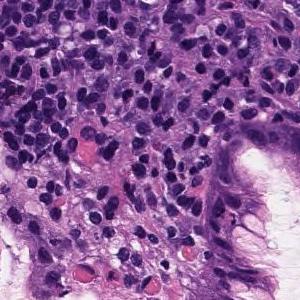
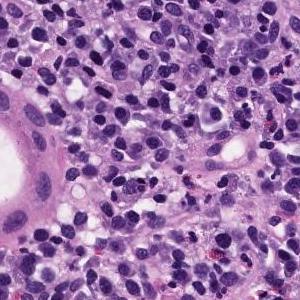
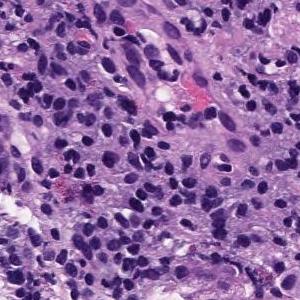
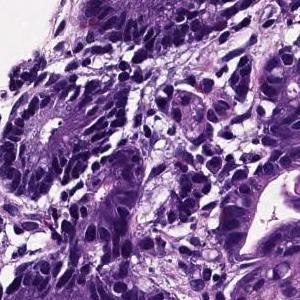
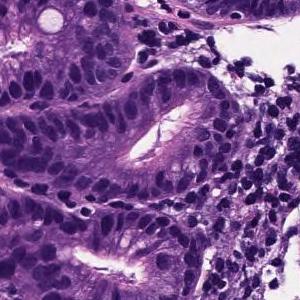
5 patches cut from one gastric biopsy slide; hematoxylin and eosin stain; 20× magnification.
Pathology report for the biopsy slide these tiles were cut from. The findings and the diagnosis refer to the entire slide; these tiles show only part of it, possibly with non-tumor tissue, and may not show every feature named.
Medium to small, irregular glandular ducts are formed in the superficial epithelium, and in some cases, the glandular ducts are fused to show solid alveolar lesions and infiltrating tumor tissue is observed. Moderately to poorly differentiated adenocarcinoma.
